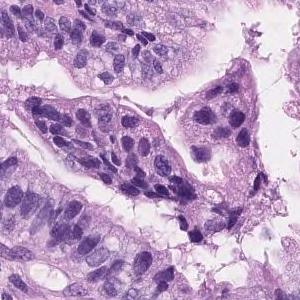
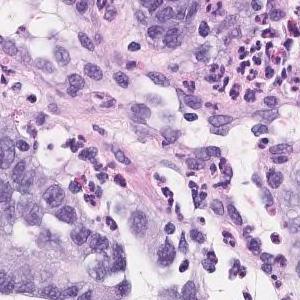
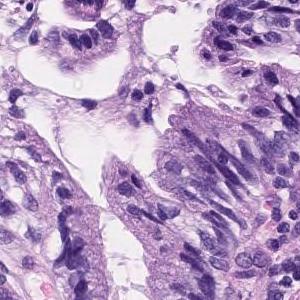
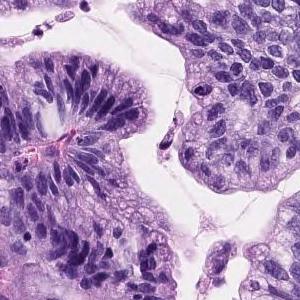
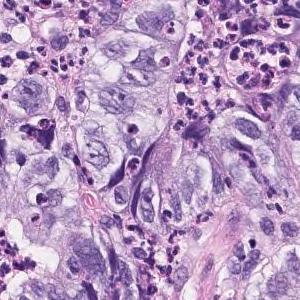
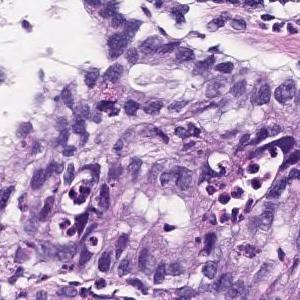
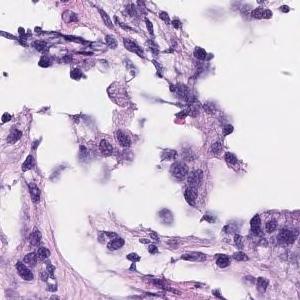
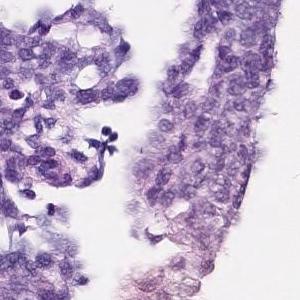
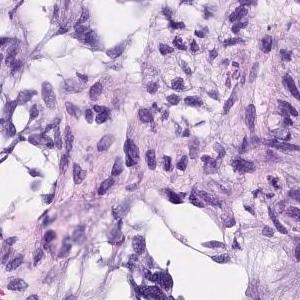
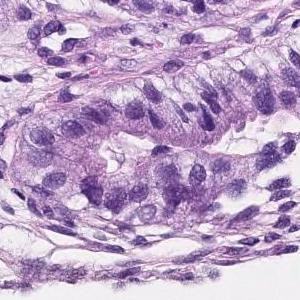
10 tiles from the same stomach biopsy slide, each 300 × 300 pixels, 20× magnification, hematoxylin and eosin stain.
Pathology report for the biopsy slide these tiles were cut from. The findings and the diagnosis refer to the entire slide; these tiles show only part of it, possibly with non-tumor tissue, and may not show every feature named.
Tumor cells are large, highly columnar, large club-shaped nuclei, and are associated with chromatin aggregation. Papillary adenocarcinoma.
